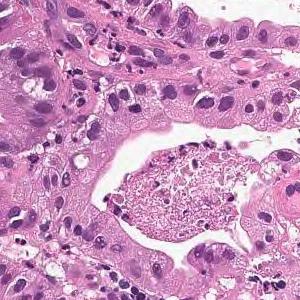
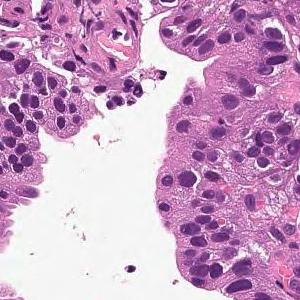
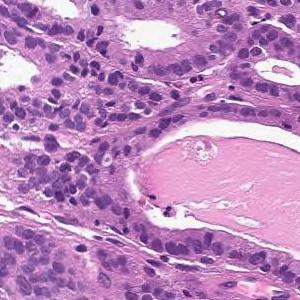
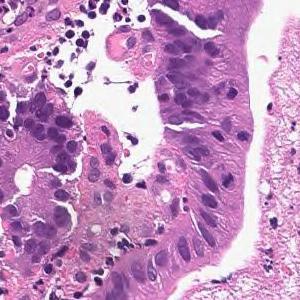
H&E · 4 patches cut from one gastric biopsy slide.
Pathology report for the slide these tiles were cut from. The report and the diagnosis describe the slide as a whole, so these tiles may not show every feature named and may include non-tumor tissue.
From the superficial epithelium to the muscularis mucosae, tumor tissue consisting of medium-sized and irregular glandular ducts infiltrating is observed. Well differentiated tubular adenocarcinoma
